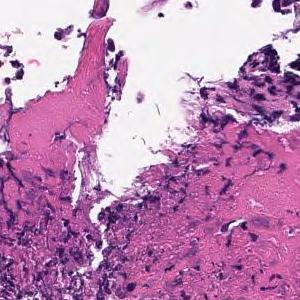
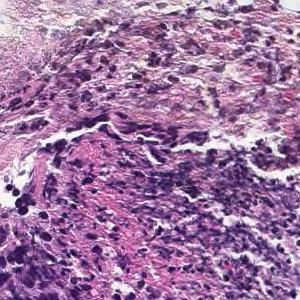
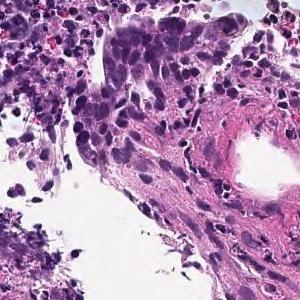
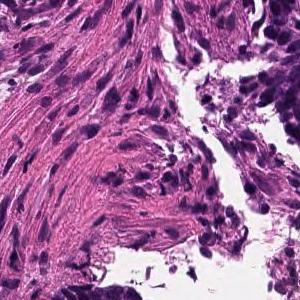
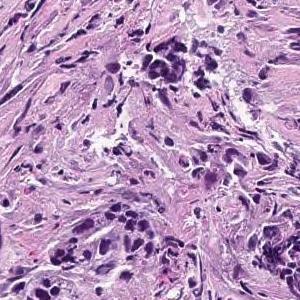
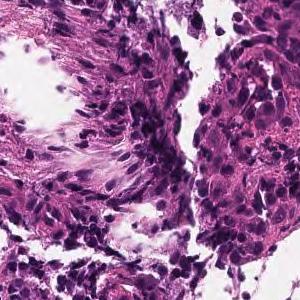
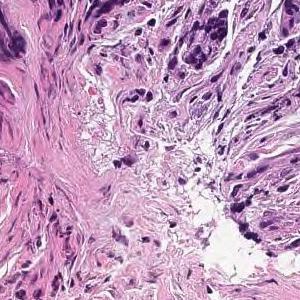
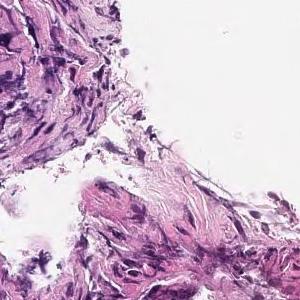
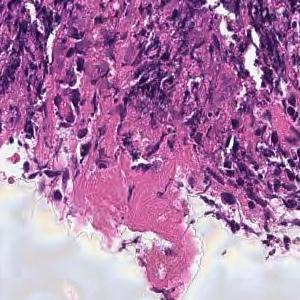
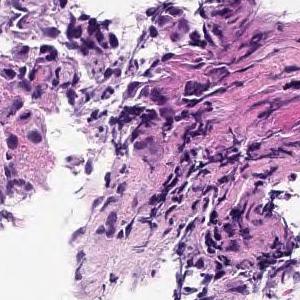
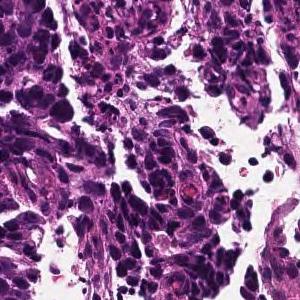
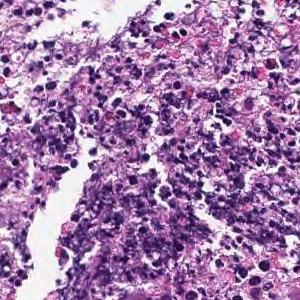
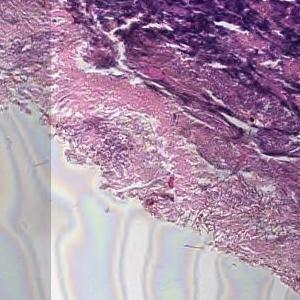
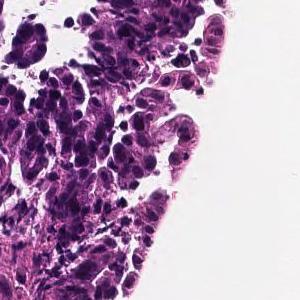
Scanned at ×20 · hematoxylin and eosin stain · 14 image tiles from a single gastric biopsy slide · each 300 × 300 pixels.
The pathologist's report on the biopsy slide these tiles were taken from. The findings and the diagnosis refer to the entire slide; these tiles show only part of it, possibly with non-tumor tissue, and may not show every feature named.
In the superficial epithelium, tumor tissue that invades by forming medium-sized to small, irregular ducts is observed. moderately differentiated tubular adenocarcinoma.
